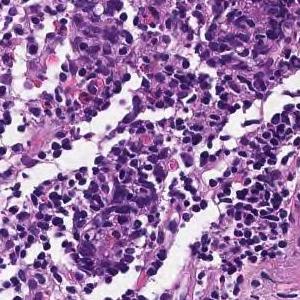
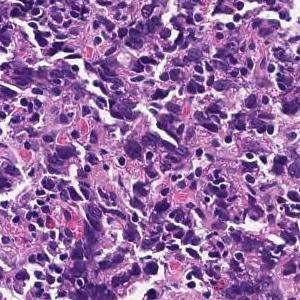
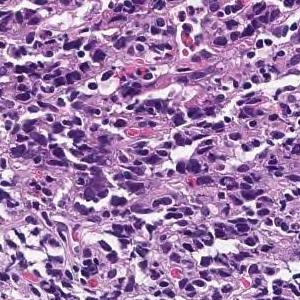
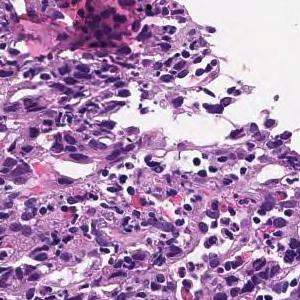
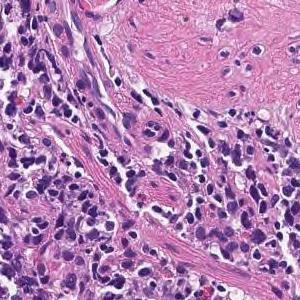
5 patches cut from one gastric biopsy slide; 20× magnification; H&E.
The pathologist's report on the biopsy slide these tiles were taken from. Both the report and the diagnosis are for the whole slide: these tiles need not show every feature named, and some of the tissue shown may not be tumor.
Tumor tissue consisting of medium-sized, cord-like or irregular glandular infiltration is observed in the superficial epithelium. Poorly differentiated adenocarcinoma, non-solid type or moderately differentiated tubular adenocarcinoma
Classified as moderately to poorly differentiated adenocarcinoma.
"Non-solid type" is a category of the Japanese Classification of Gastric Carcinoma.
